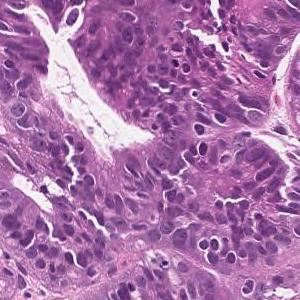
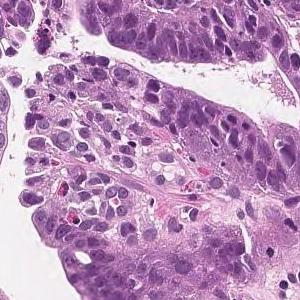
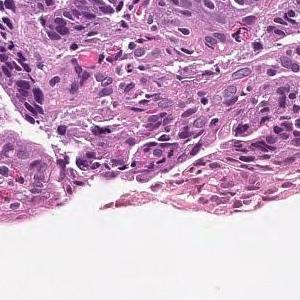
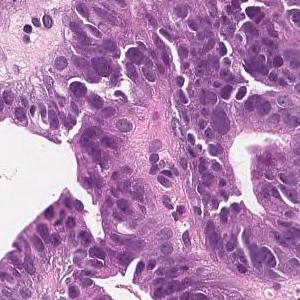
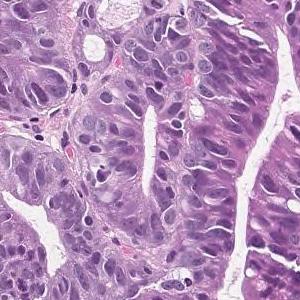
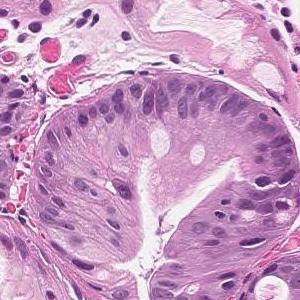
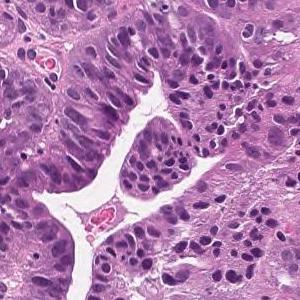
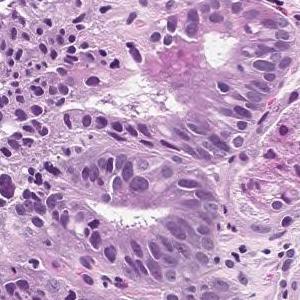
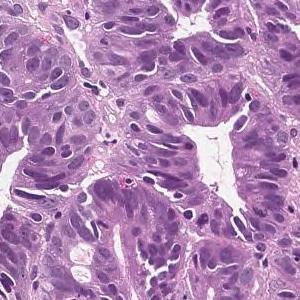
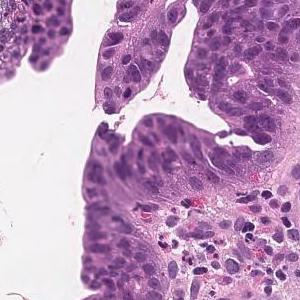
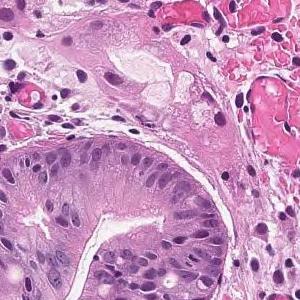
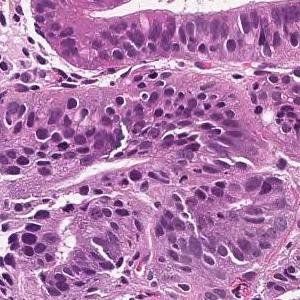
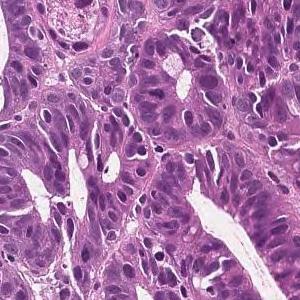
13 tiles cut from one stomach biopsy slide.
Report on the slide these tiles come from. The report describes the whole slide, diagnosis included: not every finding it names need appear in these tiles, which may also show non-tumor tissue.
From the superficial epithelium to the muscularis mucosae, tumor tissue consisting of medium-sized and irregular glandular ducts infiltrating is observed. Well differentiated tubular adenocarcinoma
